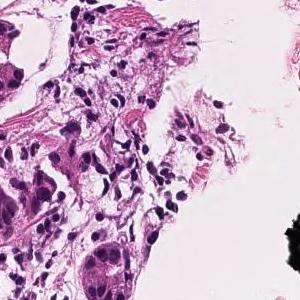
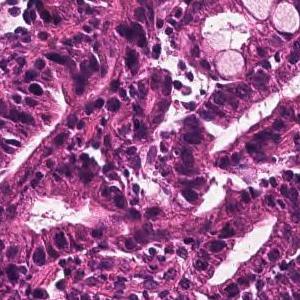
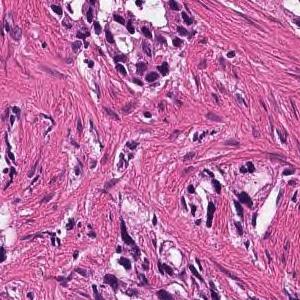
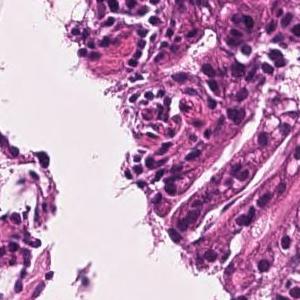
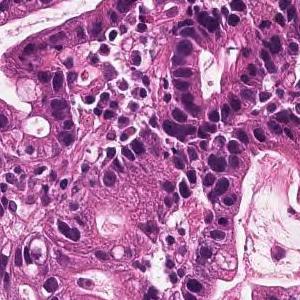
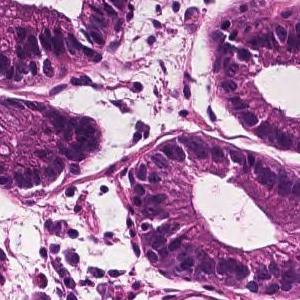
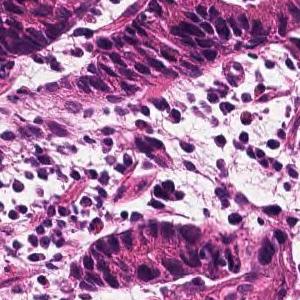
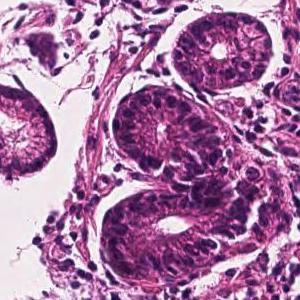
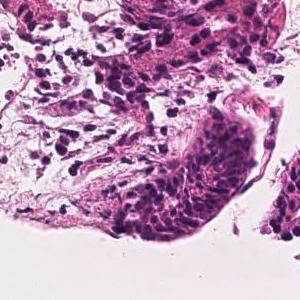
Scanned at ×20; H&E stain; 9 tiles cut from one stomach biopsy slide; each 300 × 300 pixels.
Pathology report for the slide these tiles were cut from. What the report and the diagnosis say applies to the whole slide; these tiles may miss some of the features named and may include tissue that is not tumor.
In the superficial epithelium, tumor tissue that invades by forming medium-sized to small, irregular ducts is observed. moderately differentiated tubular adenocarcinoma.
